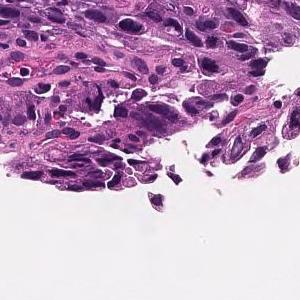
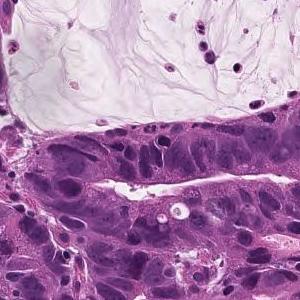
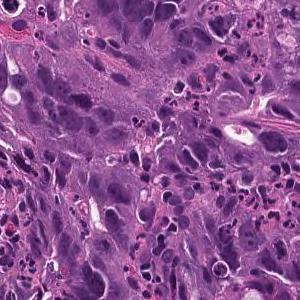
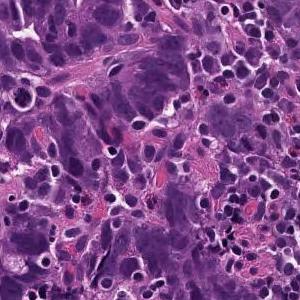
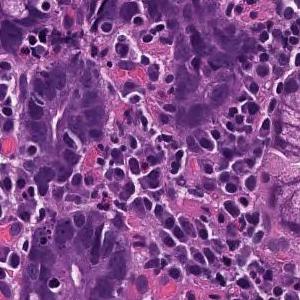
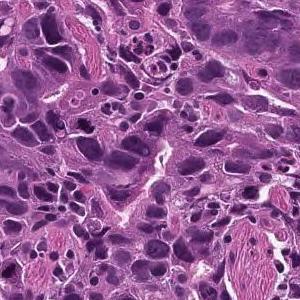
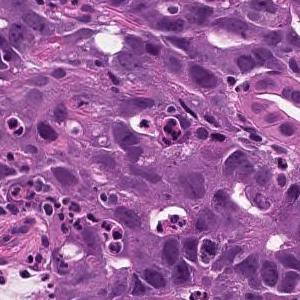
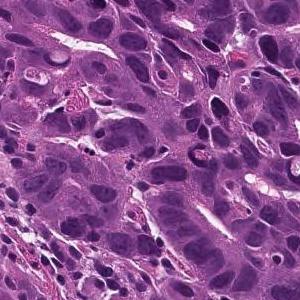
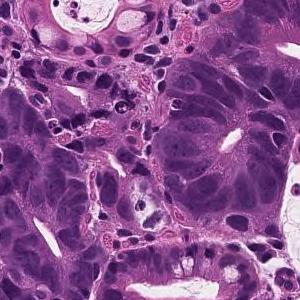
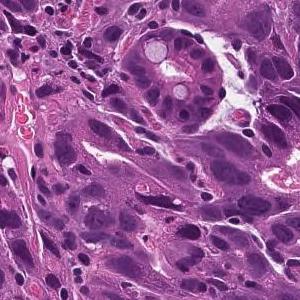
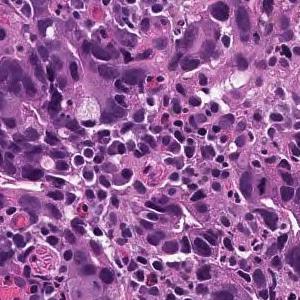
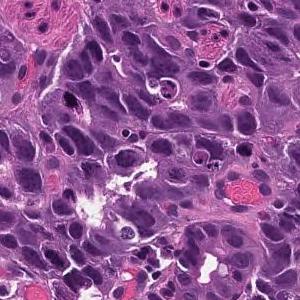
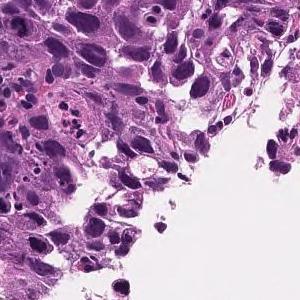
13 tiles cut from one stomach biopsy slide; 300 × 300 pixels each; hematoxylin and eosin stain; scanned at ×20.
Diagnostic report for the slide these tiles come from. The report describes the whole slide, diagnosis included: not every finding it names need appear in these tiles, which may also show non-tumor tissue.
On the superficial epithelium, tumor tissue is found in which medium-sized irregular gland ducts fuse with each other and infiltrate. moderately differentiated tubular adenocarcinoma
